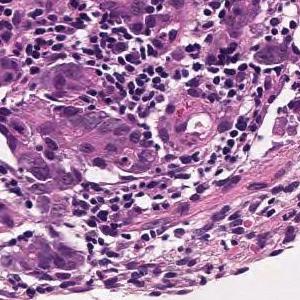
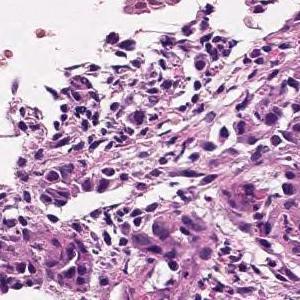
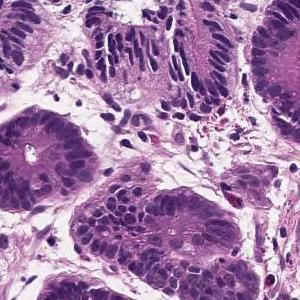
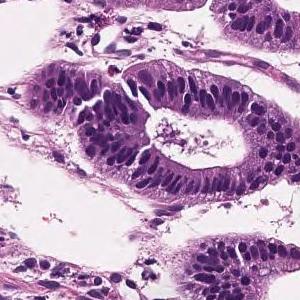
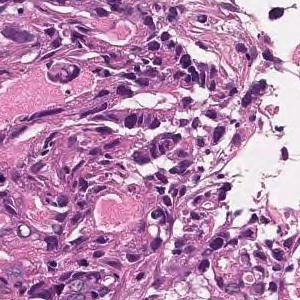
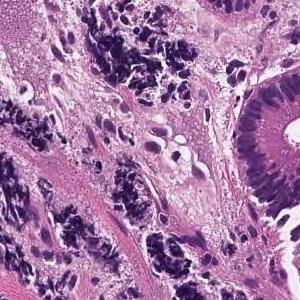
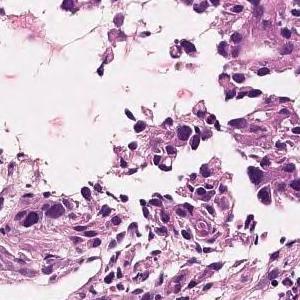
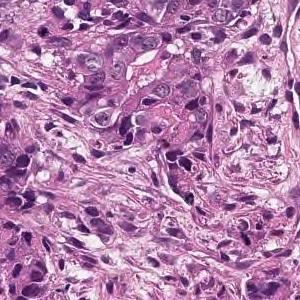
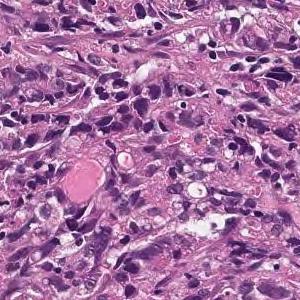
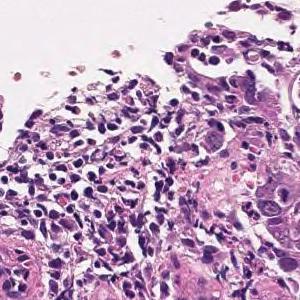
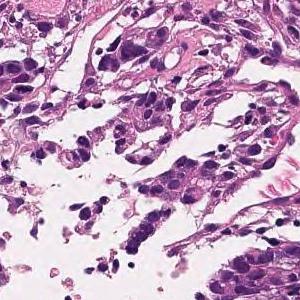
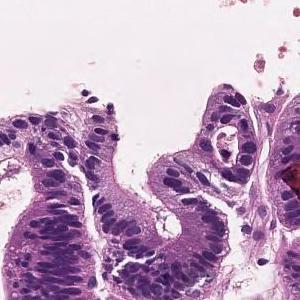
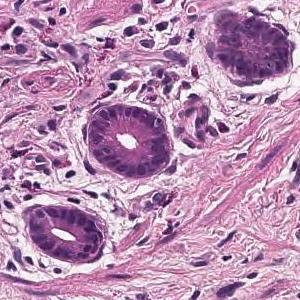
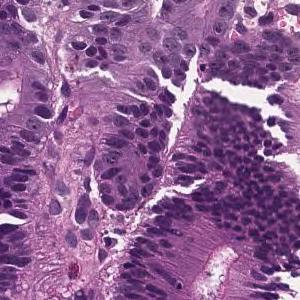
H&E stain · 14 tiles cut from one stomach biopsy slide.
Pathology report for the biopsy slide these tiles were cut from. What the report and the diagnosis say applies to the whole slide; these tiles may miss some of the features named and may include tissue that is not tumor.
Tumor tissue consisting of cord-like or small, irregular glandular ducts fused and infiltrated is observed in the superficial epithelium. Poorly differentiated adenocarcinoma, non-solid type
The term "non-solid type" comes from the Japanese Classification of Gastric Carcinoma.
